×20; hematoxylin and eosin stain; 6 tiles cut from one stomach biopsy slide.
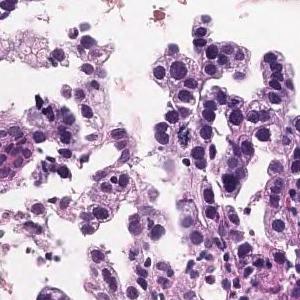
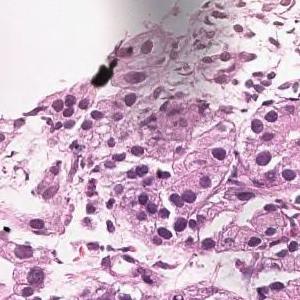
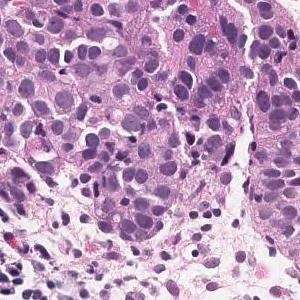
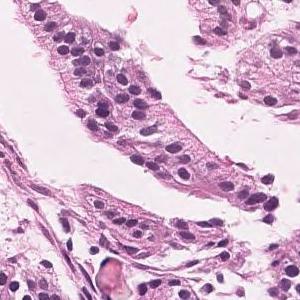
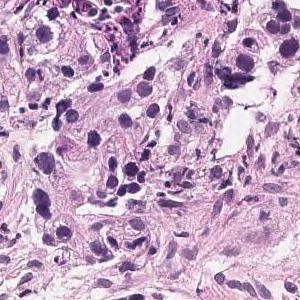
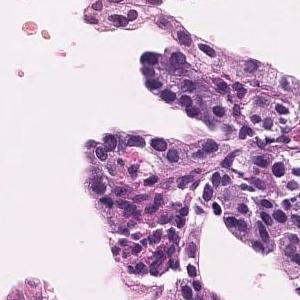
Pathology report for the biopsy slide these tiles were cut from. The findings and the diagnosis refer to the entire slide; these tiles show only part of it, possibly with non-tumor tissue, and may not show every feature named.
In the superficial epithelium, tumor tissue that invades by forming medium-sized to small, irregular ducts is observed. moderately differentiated tubular adenocarcinoma.
